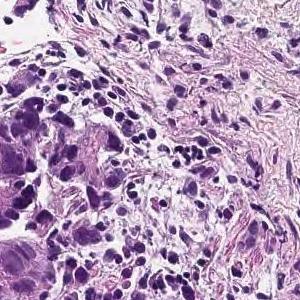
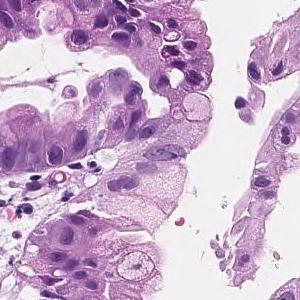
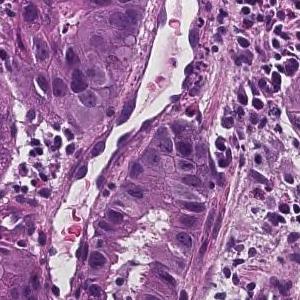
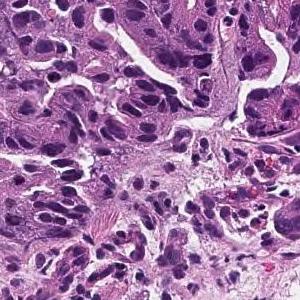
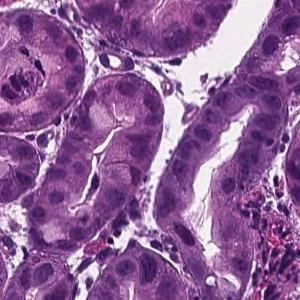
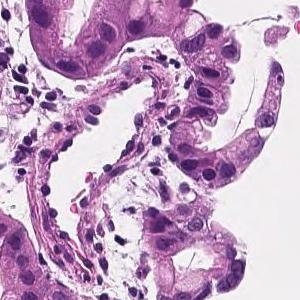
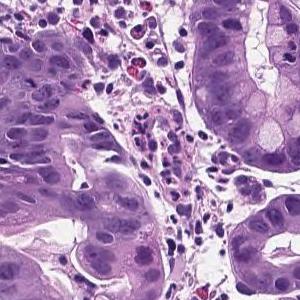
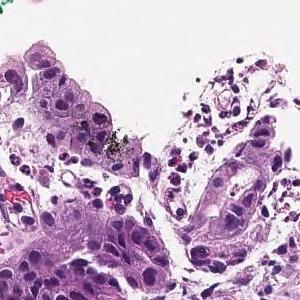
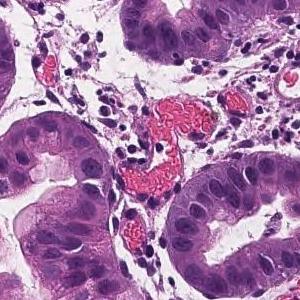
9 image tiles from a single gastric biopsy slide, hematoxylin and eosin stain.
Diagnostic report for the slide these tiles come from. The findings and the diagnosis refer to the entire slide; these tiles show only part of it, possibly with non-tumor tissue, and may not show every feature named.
On the superficial epithelium, tumor tissue that infiltrates by forming medium-sized papillary or small irregular ducts is observed. Papillary adenocarcinoma
